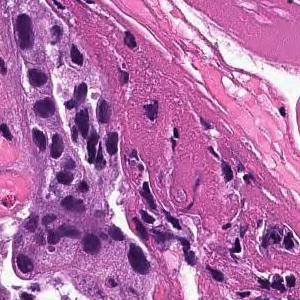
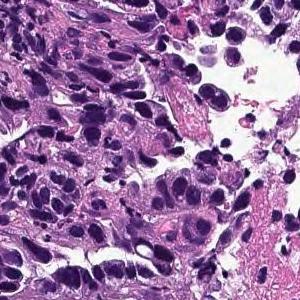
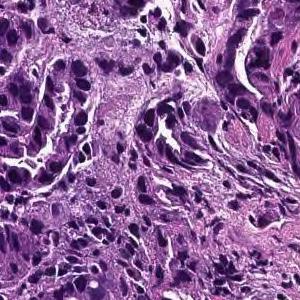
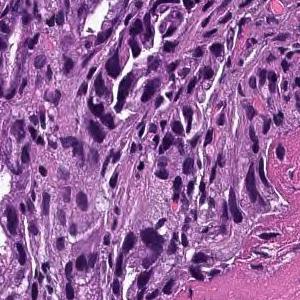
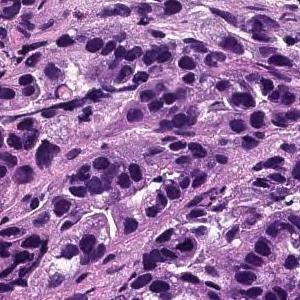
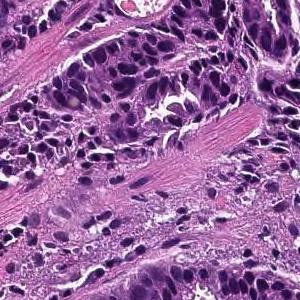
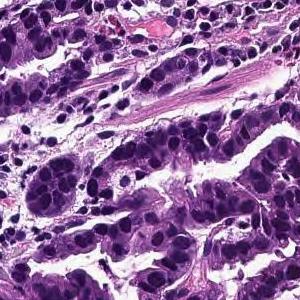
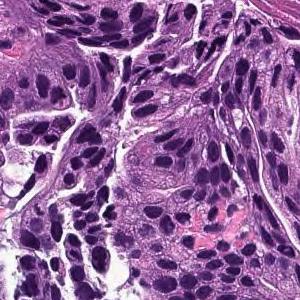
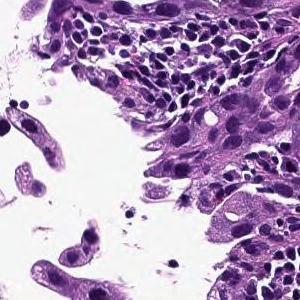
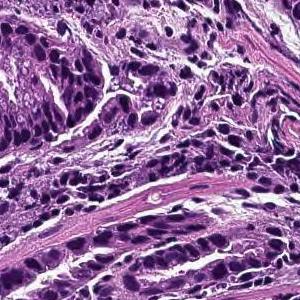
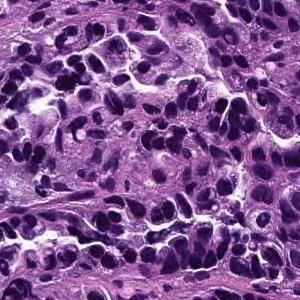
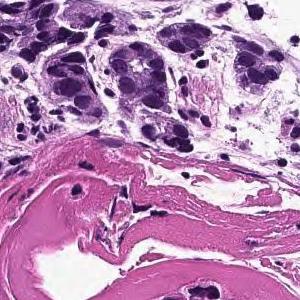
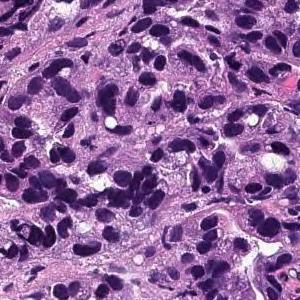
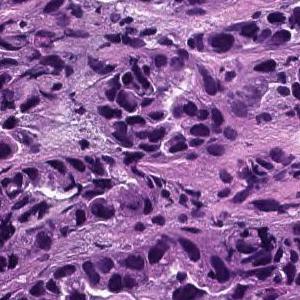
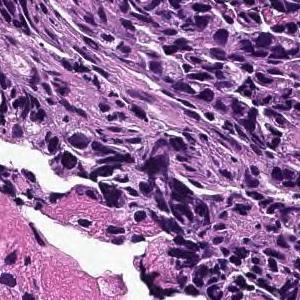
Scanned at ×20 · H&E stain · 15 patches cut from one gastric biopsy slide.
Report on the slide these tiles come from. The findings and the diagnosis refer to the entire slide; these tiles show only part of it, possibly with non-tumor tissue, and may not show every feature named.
Tumor cells are large, highly columnar, large club-shaped nuclei, and are associated with chromatin aggregation. Papillary adenocarcinoma.
